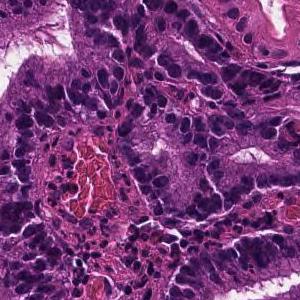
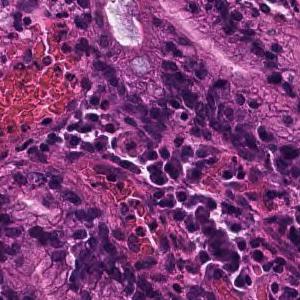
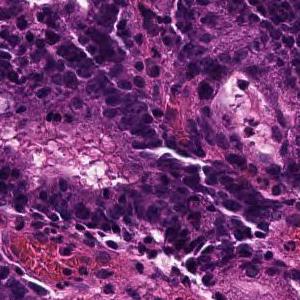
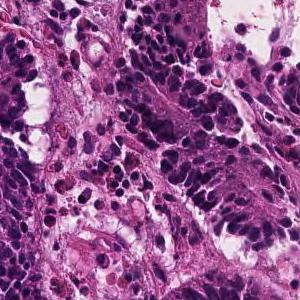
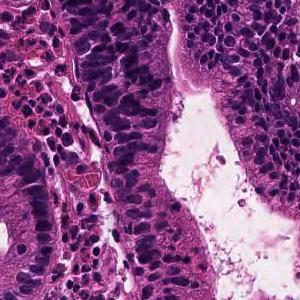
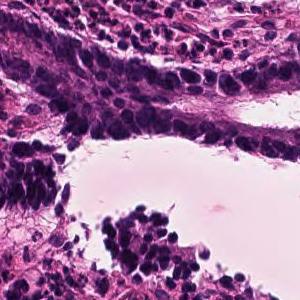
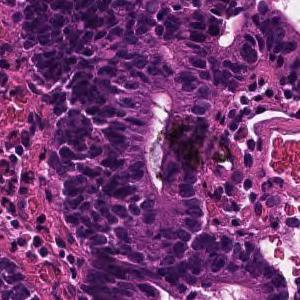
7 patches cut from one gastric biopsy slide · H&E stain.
Pathology report for the slide these tiles were cut from. The findings and the diagnosis refer to the entire slide; these tiles show only part of it, possibly with non-tumor tissue, and may not show every feature named.
In the superficial epithelium, tumor tissue that invades by forming medium-sized to small, irregular ducts is observed. moderately differentiated tubular adenocarcinoma.
